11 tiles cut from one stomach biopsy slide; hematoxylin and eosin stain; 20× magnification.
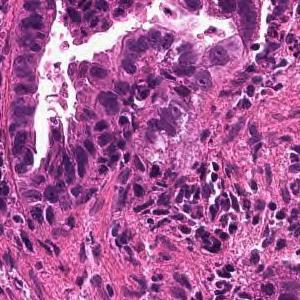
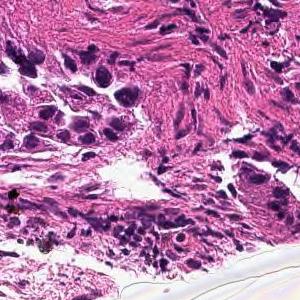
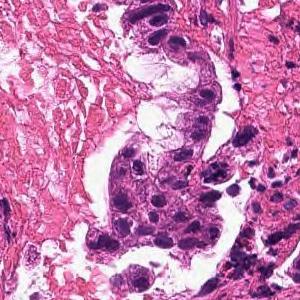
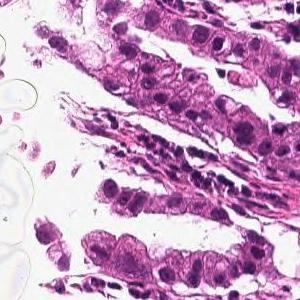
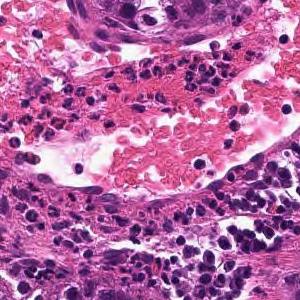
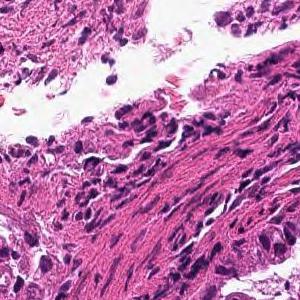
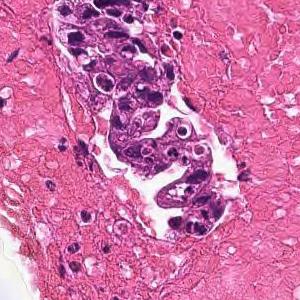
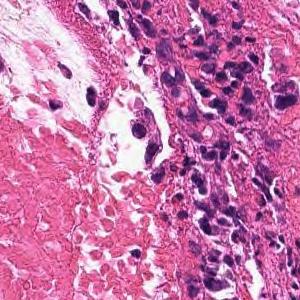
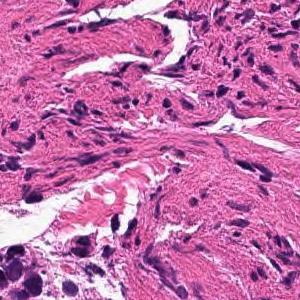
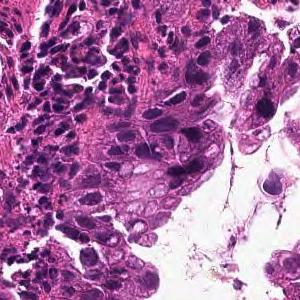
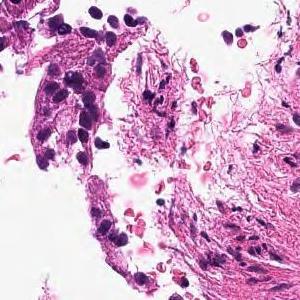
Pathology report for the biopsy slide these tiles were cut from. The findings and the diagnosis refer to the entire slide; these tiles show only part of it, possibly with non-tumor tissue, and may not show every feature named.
From the superficial epithelium to the muscularis mucosae, tumor tissue infiltrating by forming medium-sized irregular gland ducts is observed. Well differentiated tubular adenocarcinoma
